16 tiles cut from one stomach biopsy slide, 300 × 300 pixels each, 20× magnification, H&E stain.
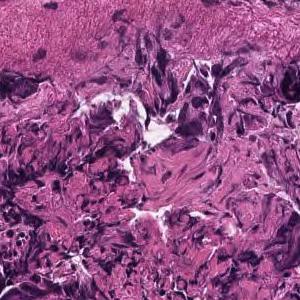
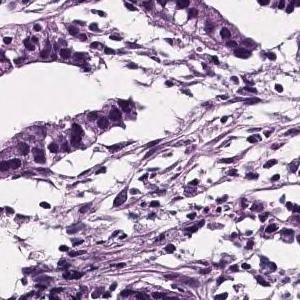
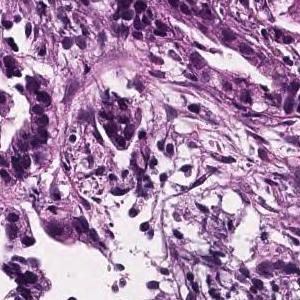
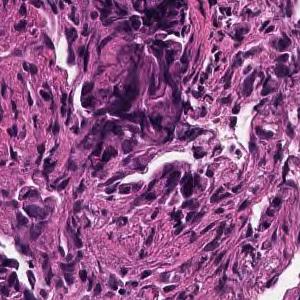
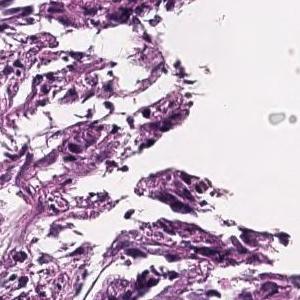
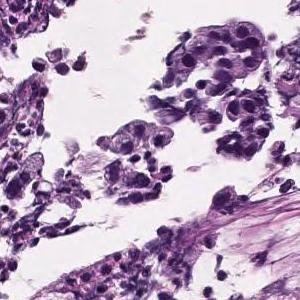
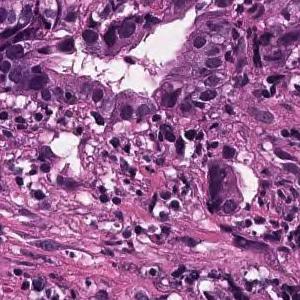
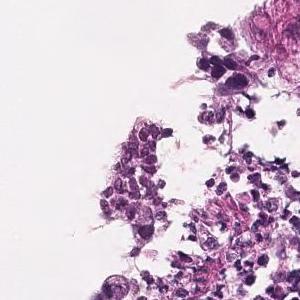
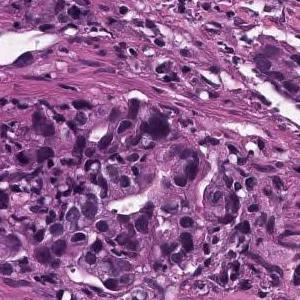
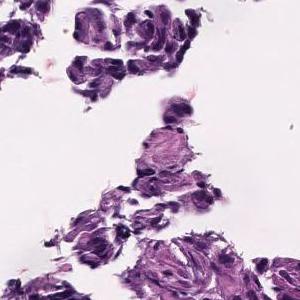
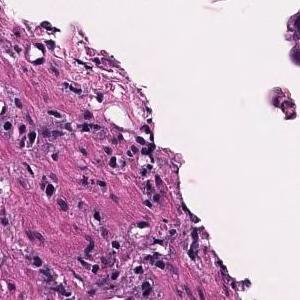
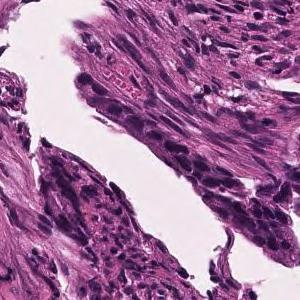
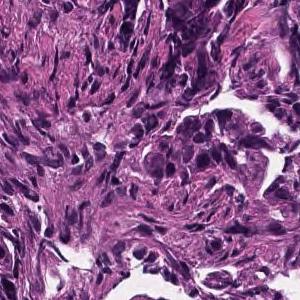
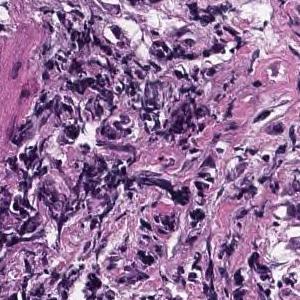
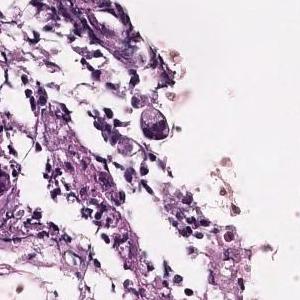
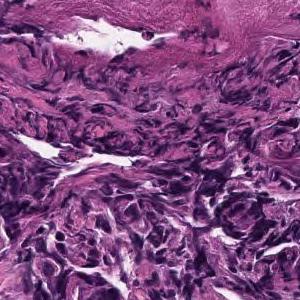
Report on the slide these tiles come from. Both the report and the diagnosis are for the whole slide: these tiles need not show every feature named, and some of the tissue shown may not be tumor.
In the superficial epithelium, tumor tissue that invades by forming medium-sized to small, irregular ducts is observed. moderately differentiated tubular adenocarcinoma.
